6 patches cut from one gastric biopsy slide · 20× magnification · H&E stain.
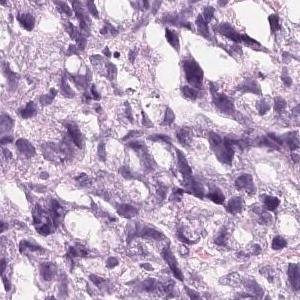
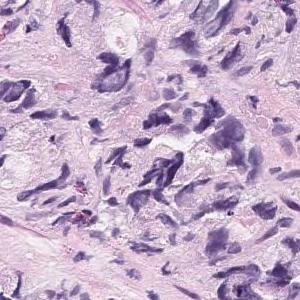
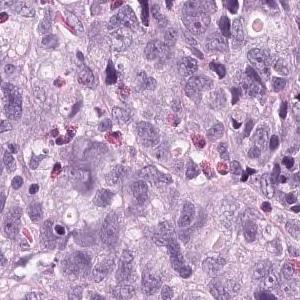
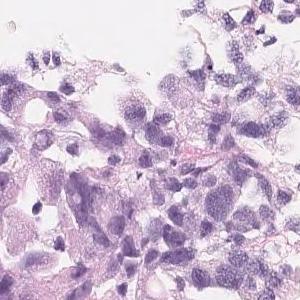
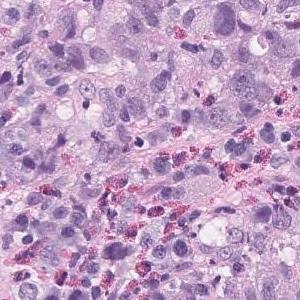
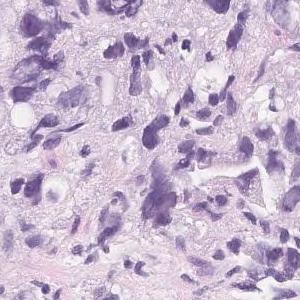
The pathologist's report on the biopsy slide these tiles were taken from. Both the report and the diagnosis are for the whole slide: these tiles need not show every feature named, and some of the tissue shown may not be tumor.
Tumor tissue that infiltrates and proliferates by forming small glandular cavities in the superficial layer to the submucosa or forming a mass is observed. moderately differentiated tubular adenocarcinoma
